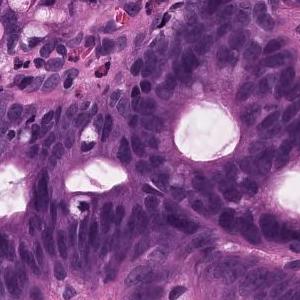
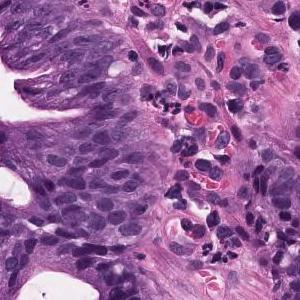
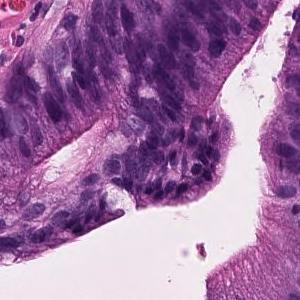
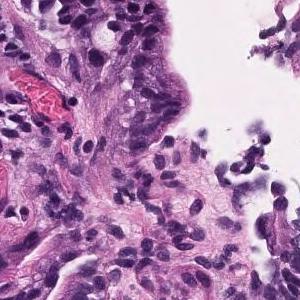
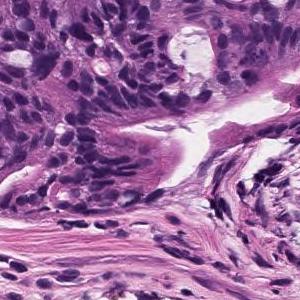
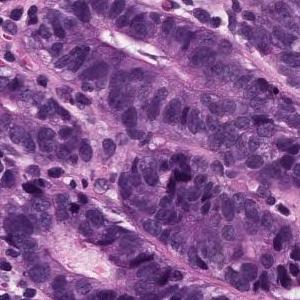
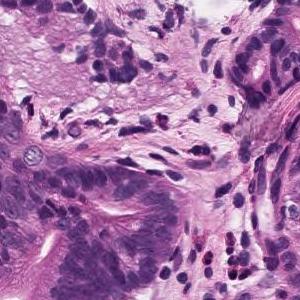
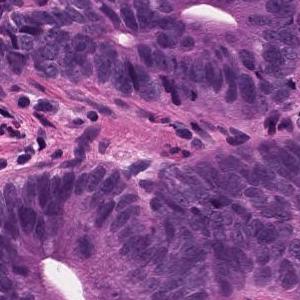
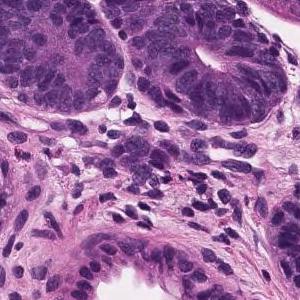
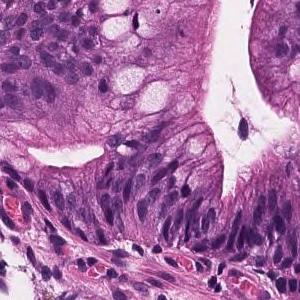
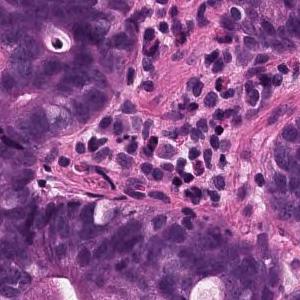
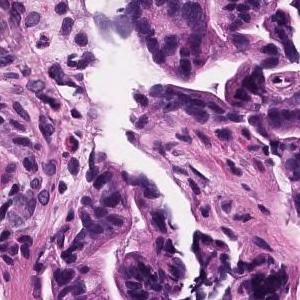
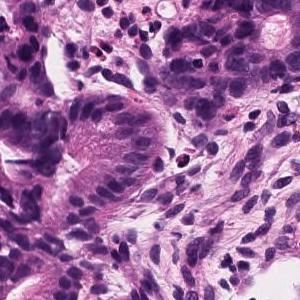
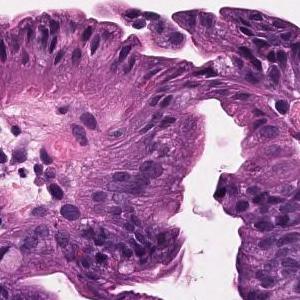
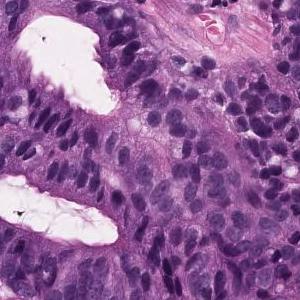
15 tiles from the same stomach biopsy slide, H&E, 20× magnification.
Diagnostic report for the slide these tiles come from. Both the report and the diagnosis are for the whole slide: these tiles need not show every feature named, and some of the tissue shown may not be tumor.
Atypical ducts proliferating while irregularly fusing in the lateral direction is observed. Well differentiated tubular adenocarcinoma
